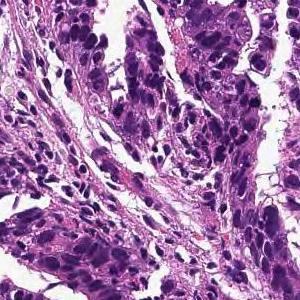
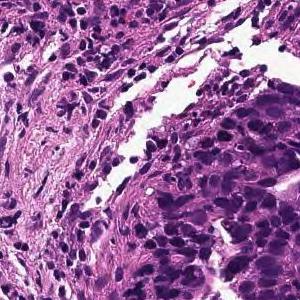
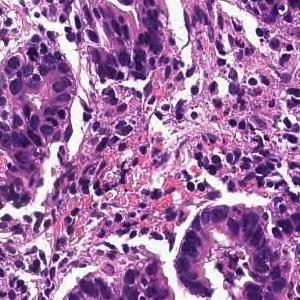
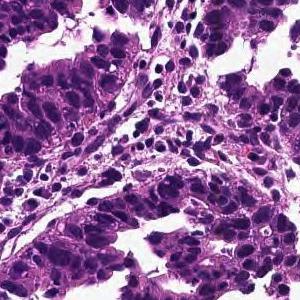
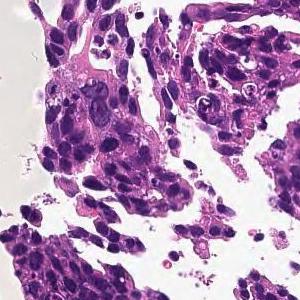
5 image tiles from a single gastric biopsy slide; H&E; 20× magnification.
Diagnostic report for the slide these tiles come from. The report describes the whole slide, diagnosis included: not every finding it names need appear in these tiles, which may also show non-tumor tissue.
In the superficial epithelium, tumor tissue that invades by forming medium-sized to small, irregular ducts is observed. moderately differentiated tubular adenocarcinoma.
